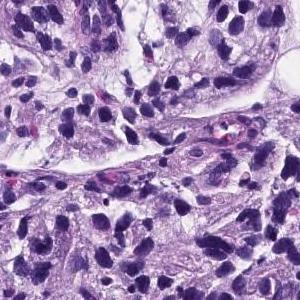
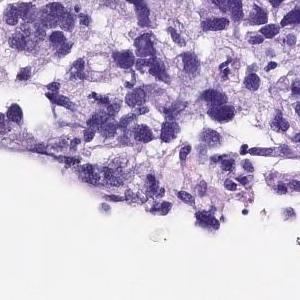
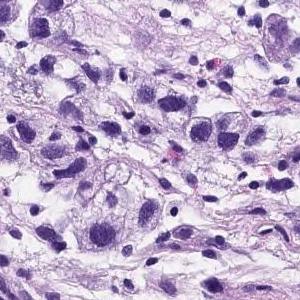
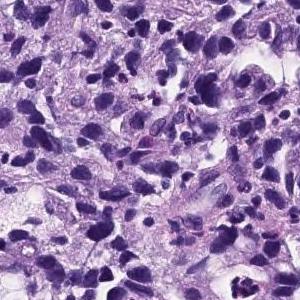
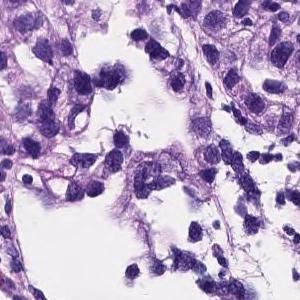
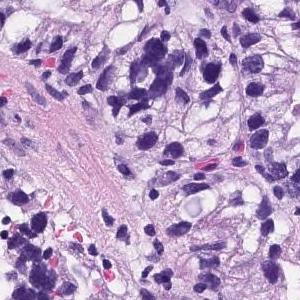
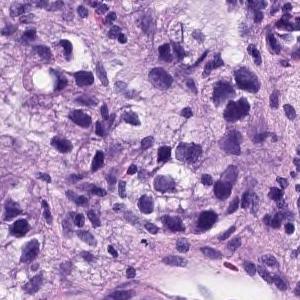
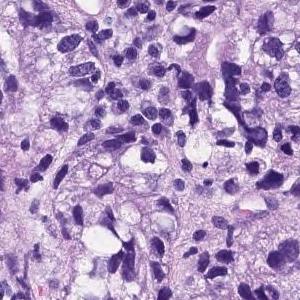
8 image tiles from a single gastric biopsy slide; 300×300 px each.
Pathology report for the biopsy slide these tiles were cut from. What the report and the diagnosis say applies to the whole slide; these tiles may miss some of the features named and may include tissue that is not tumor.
Medium to small, irregular glandular ducts are formed in the superficial epithelium, and in some cases, the glandular ducts are fused to show solid alveolar lesions and infiltrating tumor tissue is observed. Poorly differentiated adenocarcinoma, Moderately differentiated adenocarcinoma.
Labeled in the dataset as moderately differentiated tubular adenocarcinoma.
